8 image tiles from a single gastric biopsy slide.
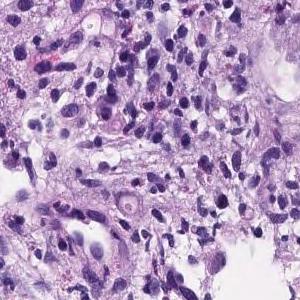
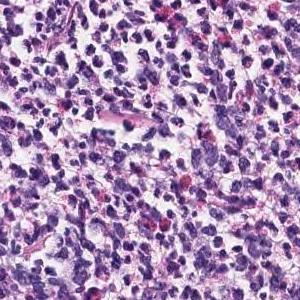
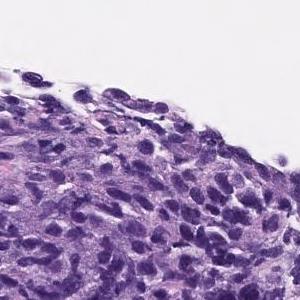
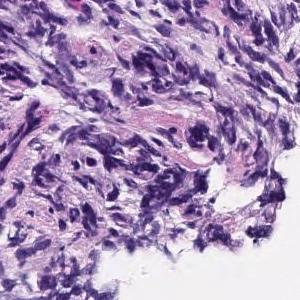
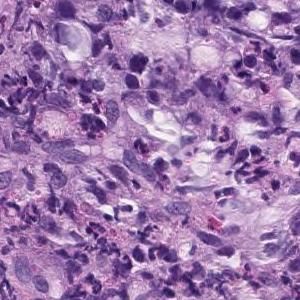
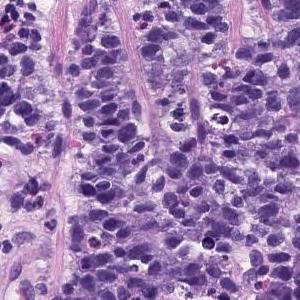
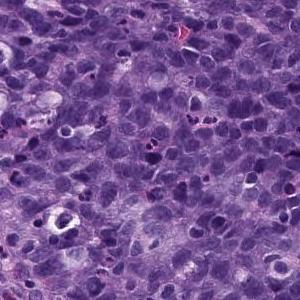
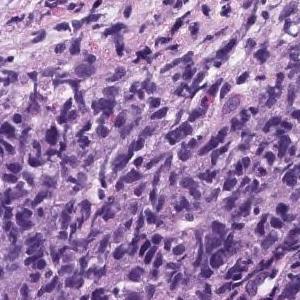
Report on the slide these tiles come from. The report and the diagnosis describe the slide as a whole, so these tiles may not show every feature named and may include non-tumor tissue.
The superficial epithelium shows a large sheet-like shape, and some tumor tissue infiltrates with small irregular ducts. Poorly differentiated adenocarcinoma, solid-type
Histological subtype: Poorly differentiated adenocarcinoma, solid type. This name comes from the Japanese Classification of Gastric Carcinoma; the WHO 2019 classification calls it tubular adenocarcinoma, poorly differentiated.
